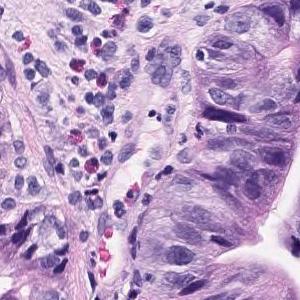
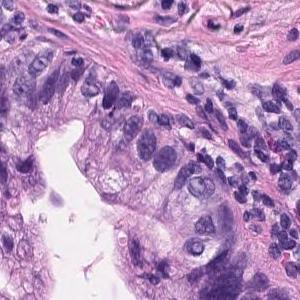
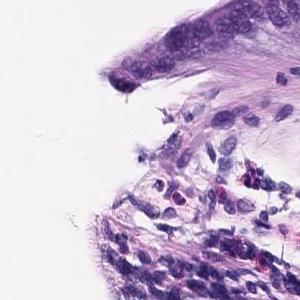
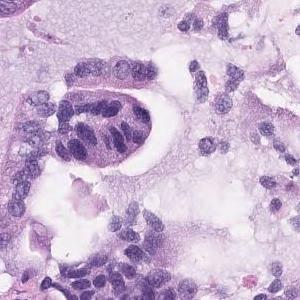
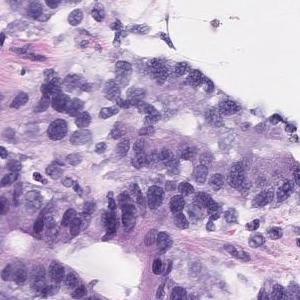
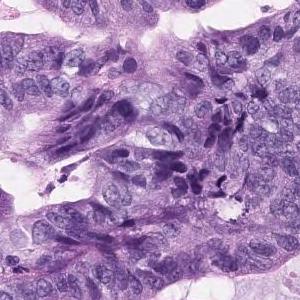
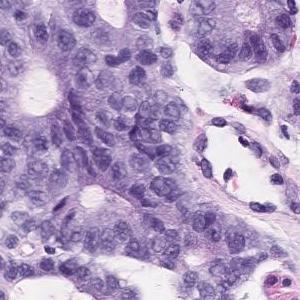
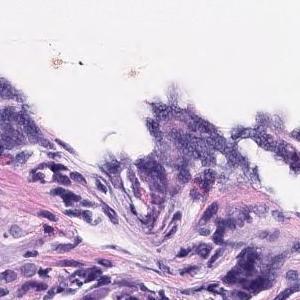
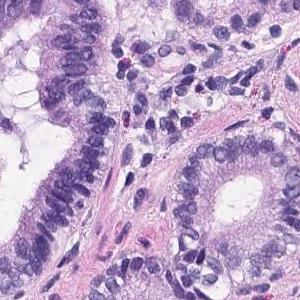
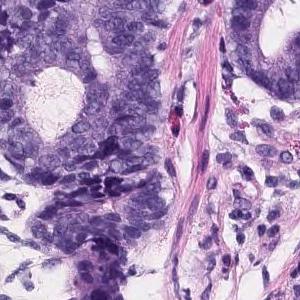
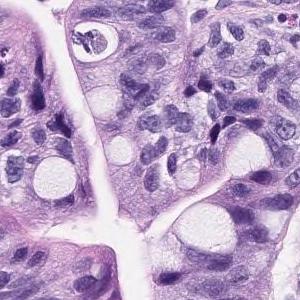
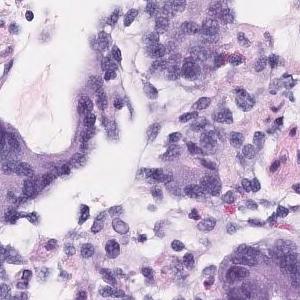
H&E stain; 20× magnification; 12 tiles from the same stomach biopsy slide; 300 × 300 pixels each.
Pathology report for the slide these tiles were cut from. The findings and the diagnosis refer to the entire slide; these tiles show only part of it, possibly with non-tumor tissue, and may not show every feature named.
In the superficial epithelium, tumor tissue that invades by forming medium-sized to small, irregular ducts is observed. Well to moderately differentiated tubular adenocarcinoma.
